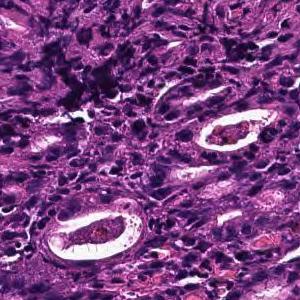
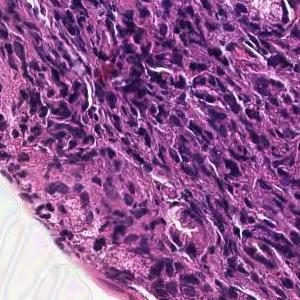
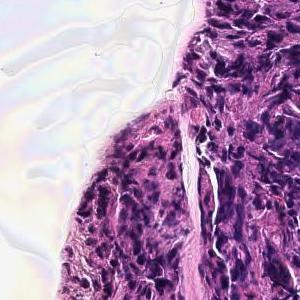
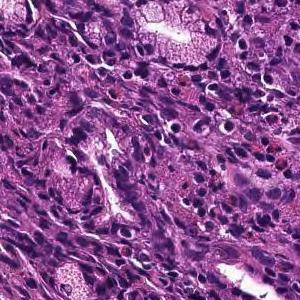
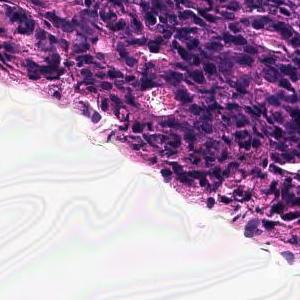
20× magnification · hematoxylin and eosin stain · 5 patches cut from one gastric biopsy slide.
Pathology report for the biopsy slide these tiles were cut from. The report and the diagnosis describe the slide as a whole, so these tiles may not show every feature named and may include non-tumor tissue.
In the superficial epithelium, tumor tissue that invades by forming medium-sized to small, irregular ducts is observed. moderately differentiated tubular adenocarcinoma.
